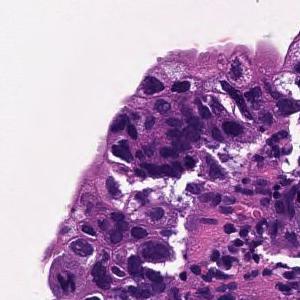
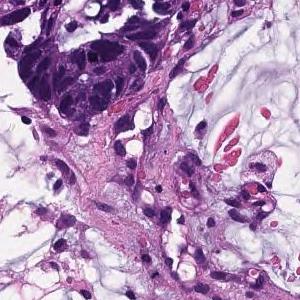
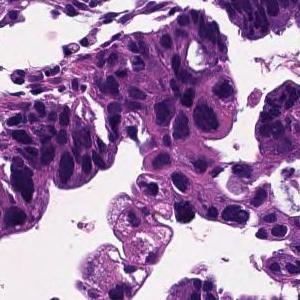
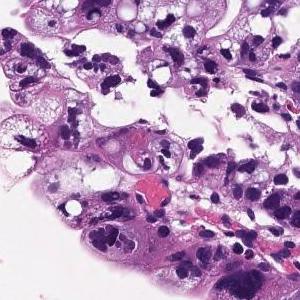
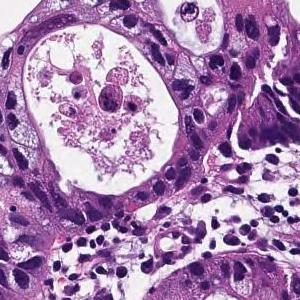
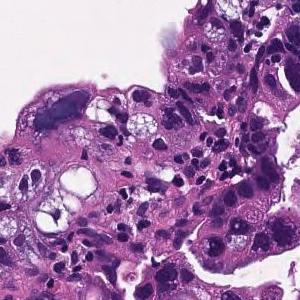
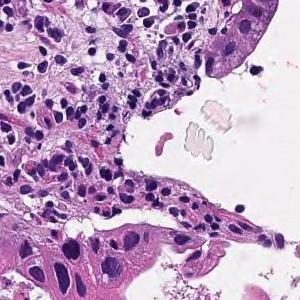
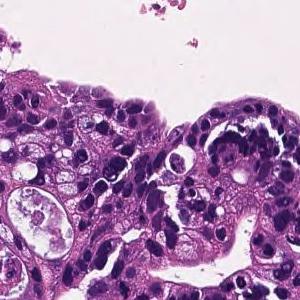
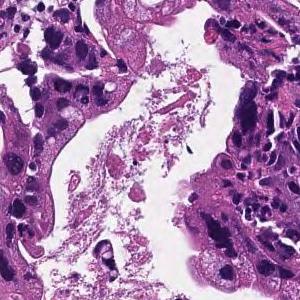
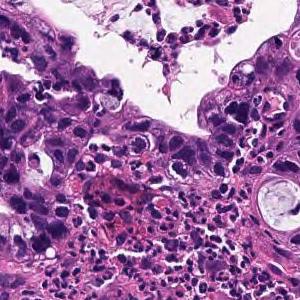
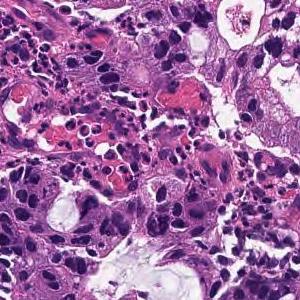
H&E stain; 11 tiles from the same stomach biopsy slide.
Report on the slide these tiles come from. Both the report and the diagnosis are for the whole slide: these tiles need not show every feature named, and some of the tissue shown may not be tumor.
In the superficial epithelium, tumor tissue that invades by forming medium-sized to small, irregular ducts is observed. moderately differentiated tubular adenocarcinoma.
